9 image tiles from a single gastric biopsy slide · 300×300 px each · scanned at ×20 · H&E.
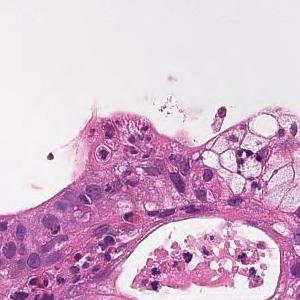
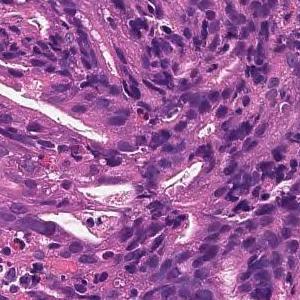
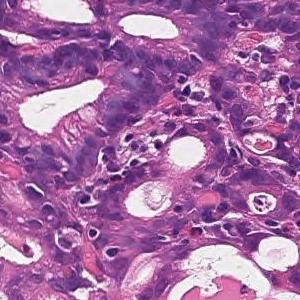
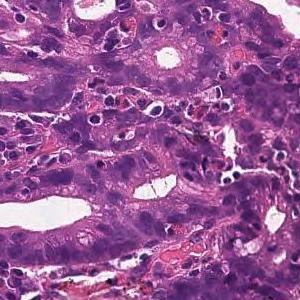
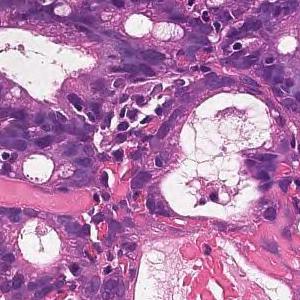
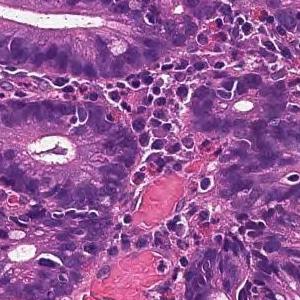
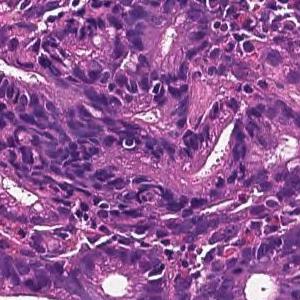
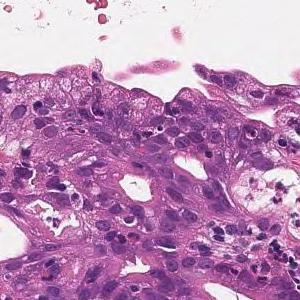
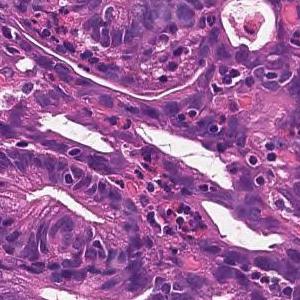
Report on the slide these tiles come from. The findings and the diagnosis refer to the entire slide; these tiles show only part of it, possibly with non-tumor tissue, and may not show every feature named.
From the superficial epithelium to the muscularis mucosae, tumor tissue consisting of medium-sized and irregular glandular ducts infiltrating is observed. Well differentiated tubular adenocarcinoma
